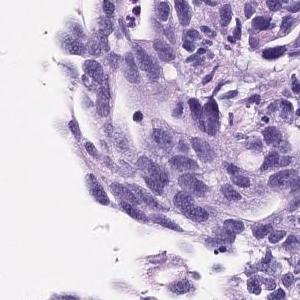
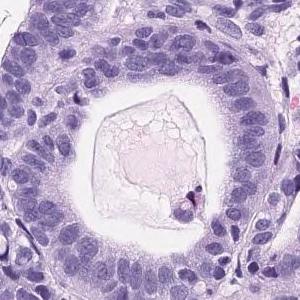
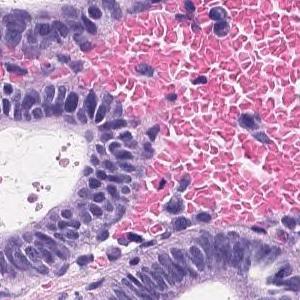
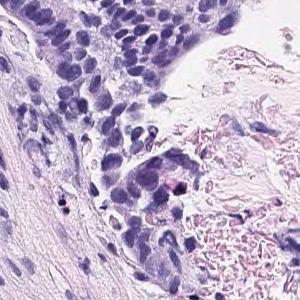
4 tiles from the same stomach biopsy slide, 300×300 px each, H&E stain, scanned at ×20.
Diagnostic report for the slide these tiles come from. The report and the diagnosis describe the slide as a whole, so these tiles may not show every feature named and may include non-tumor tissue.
The superficial epithelium shows a large sheet-like shape, and some tumor tissue infiltrates with small irregular ducts. Poorly differentiated adenocarcinoma, solid-type
Histologic type: Poorly differentiated adenocarcinoma, solid type, a category of the Japanese Classification of Gastric Carcinoma; in the WHO 2019 classification it is tubular adenocarcinoma, poorly differentiated.
